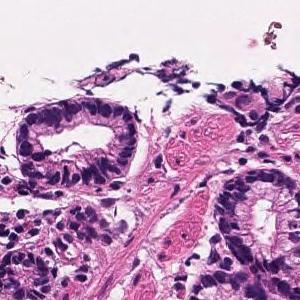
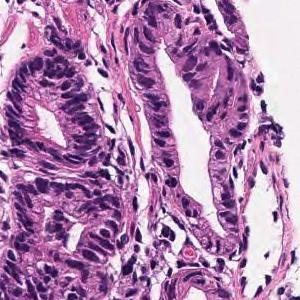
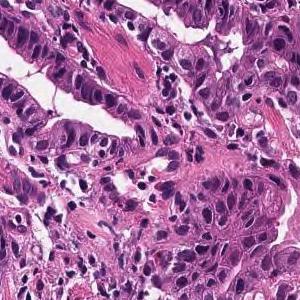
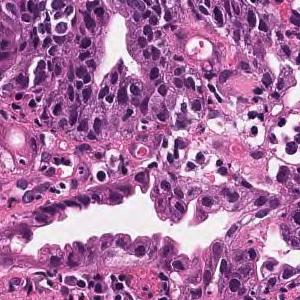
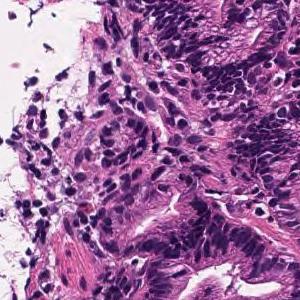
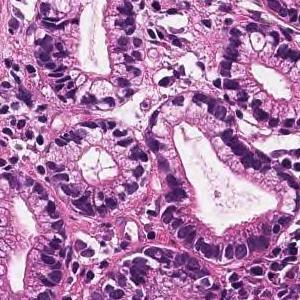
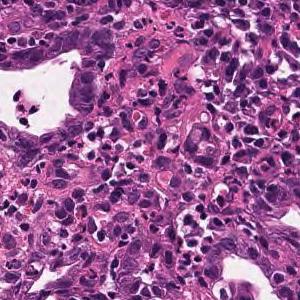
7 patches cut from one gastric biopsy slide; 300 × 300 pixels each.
Pathology report for the slide these tiles were cut from. What the report and the diagnosis say applies to the whole slide; these tiles may miss some of the features named and may include tissue that is not tumor.
Tumor tissue in which medium to small irregular ducts infiltrate and proliferate in the submucosa can be seen in the epithelium. Well differentiated tubular adenocarcinoma
